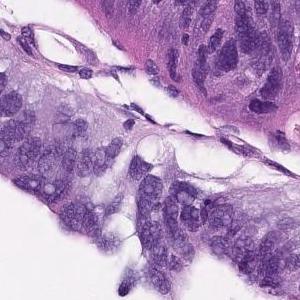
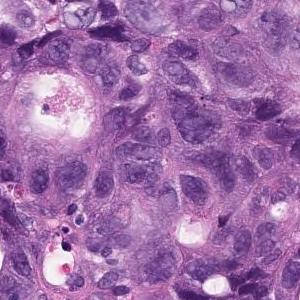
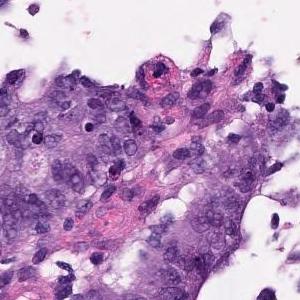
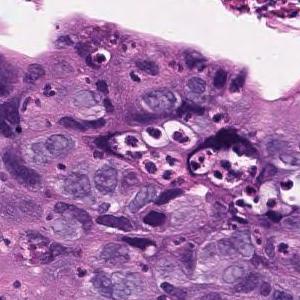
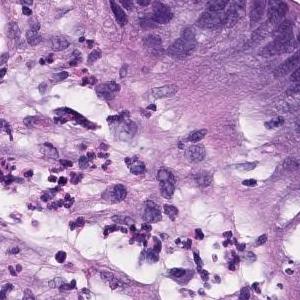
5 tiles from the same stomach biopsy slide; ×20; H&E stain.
Pathology report for the slide these tiles were cut from. Both the report and the diagnosis are for the whole slide: these tiles need not show every feature named, and some of the tissue shown may not be tumor.
In the superficial epithelium, tumor tissue that invades by forming medium-sized to small, irregular ducts is observed. Moderately differentiated adenocarcinoma.
Histologic type: Moderately differentiated tubular adenocarcinoma.
